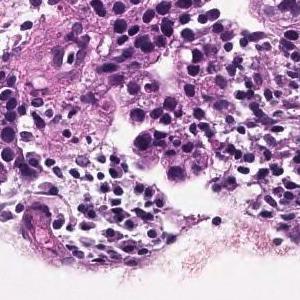
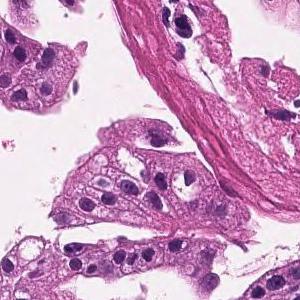
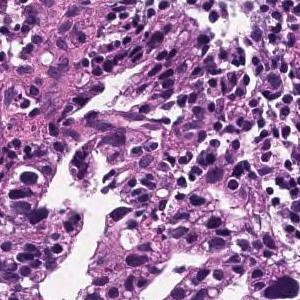
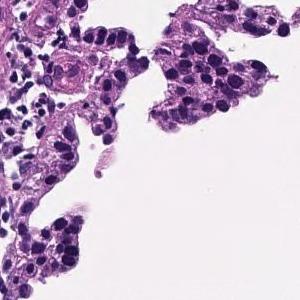
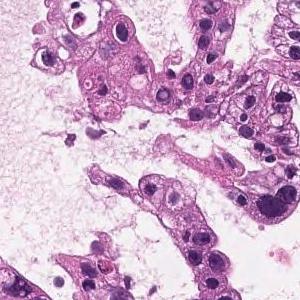
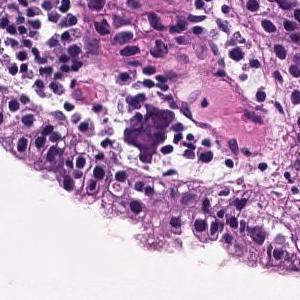
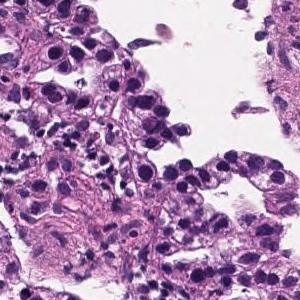
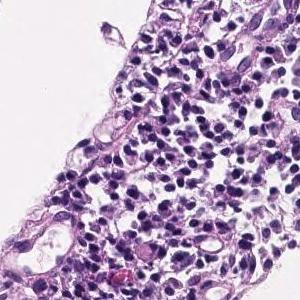
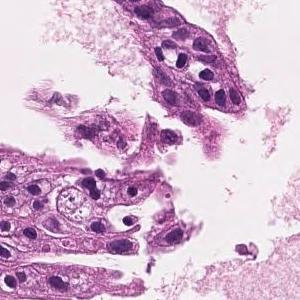
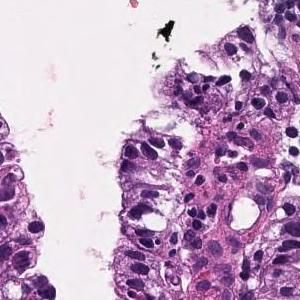
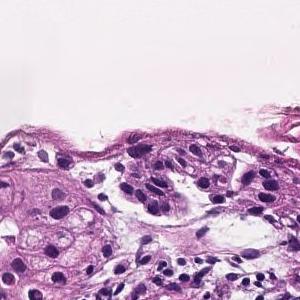
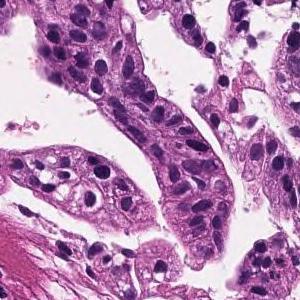
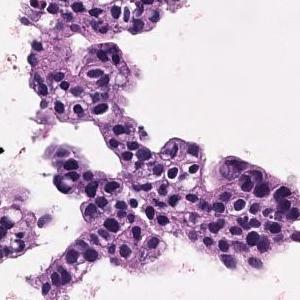
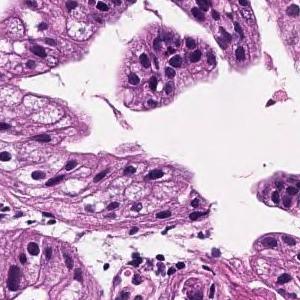
×20, 14 tiles from the same stomach biopsy slide.
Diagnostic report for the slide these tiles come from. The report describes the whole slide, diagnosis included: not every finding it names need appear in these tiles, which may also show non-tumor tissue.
On the superficial epithelium, tumor tissue that infiltrates by forming medium-sized papillary or small irregular ducts is observed. Papillary adenocarcinoma
